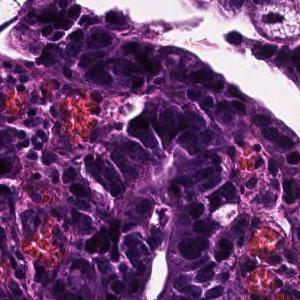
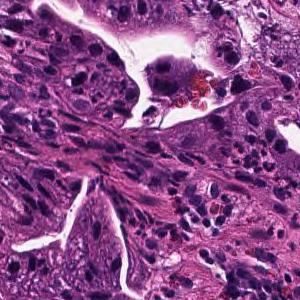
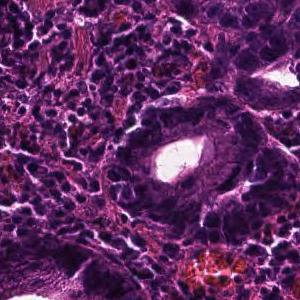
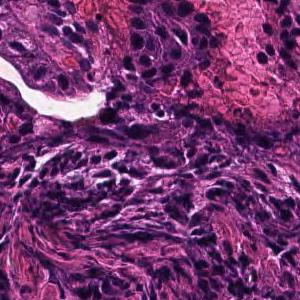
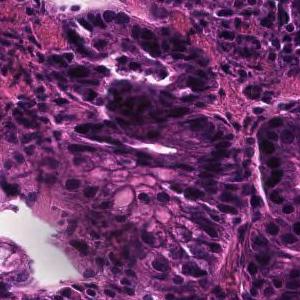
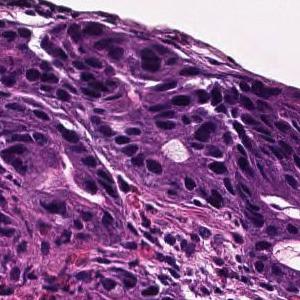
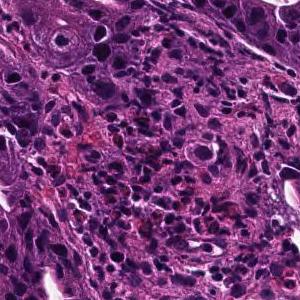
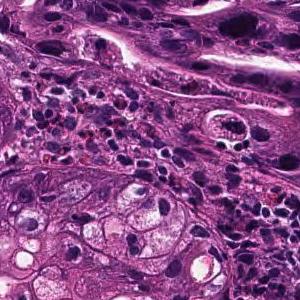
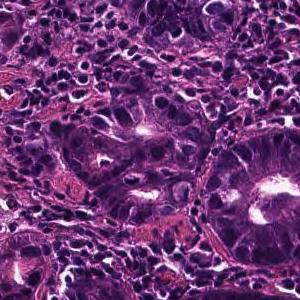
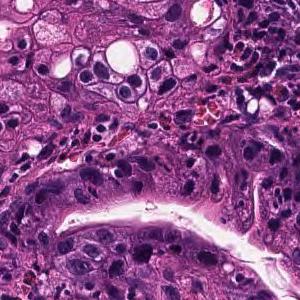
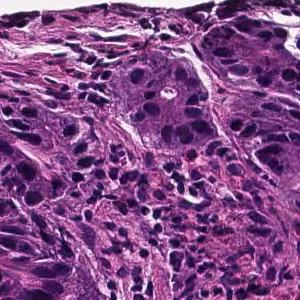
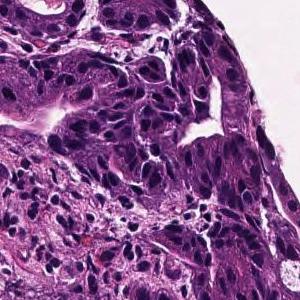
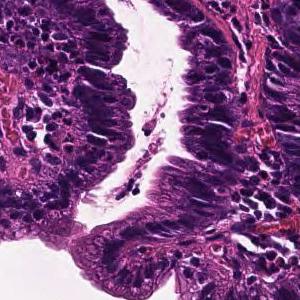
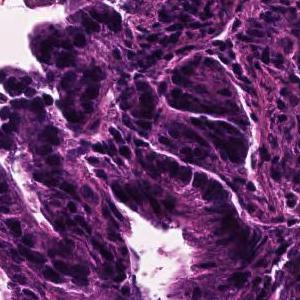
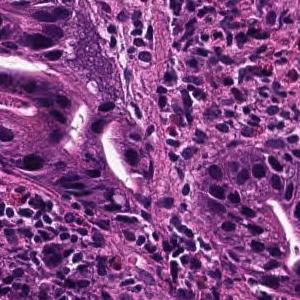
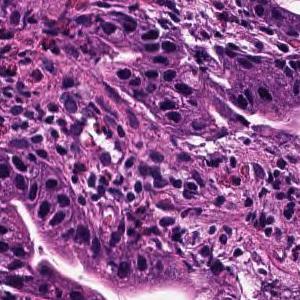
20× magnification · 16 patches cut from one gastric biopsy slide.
Pathology report for the slide these tiles were cut from. The report and the diagnosis cover the entire slide, so not every feature they name need be visible here, and some tissue shown may not be tumor.
In the superficial epithelium, tumor tissue that invades by forming medium-sized to small, irregular ducts is observed. moderately differentiated tubular adenocarcinoma.
